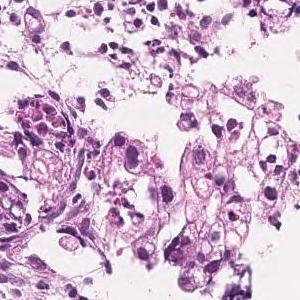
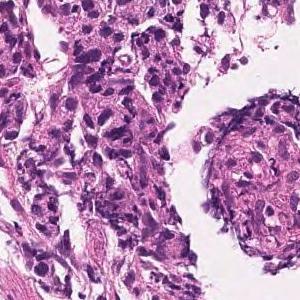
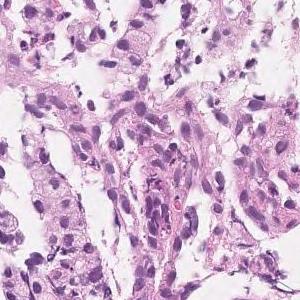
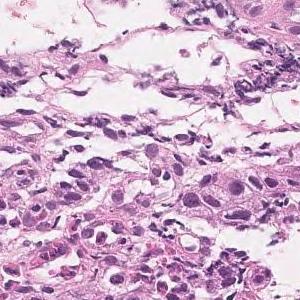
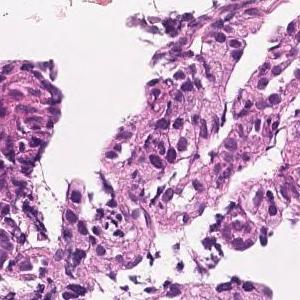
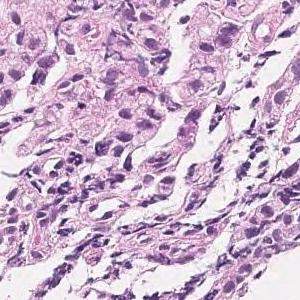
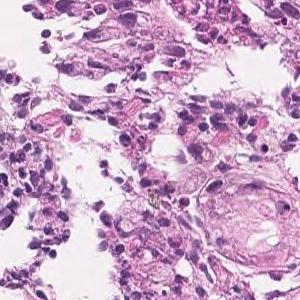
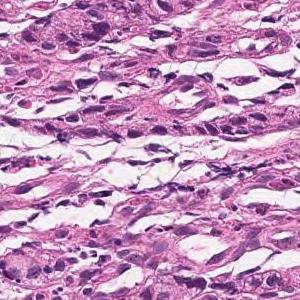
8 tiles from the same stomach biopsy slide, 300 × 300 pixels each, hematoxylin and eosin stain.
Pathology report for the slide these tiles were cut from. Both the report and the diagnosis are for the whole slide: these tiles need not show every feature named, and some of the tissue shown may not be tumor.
In the superficial epithelium, medium to small, irregular glandular ducts are formed, and in some parts, the glandular ducts are fused, and in other parts, small cord-like infiltrating tumor tissue is observed. Moderately to poorly differentiated adenocarcinoma.
